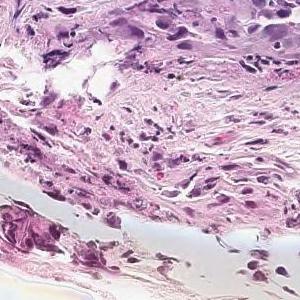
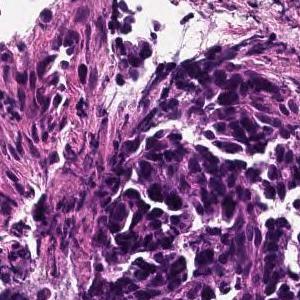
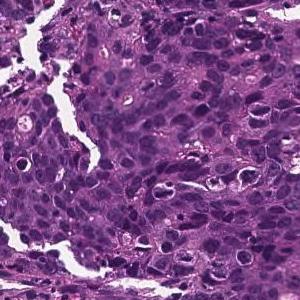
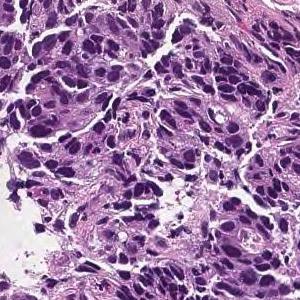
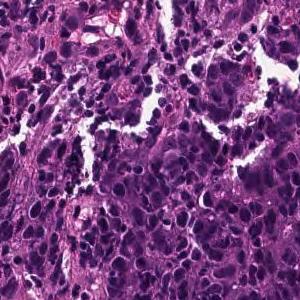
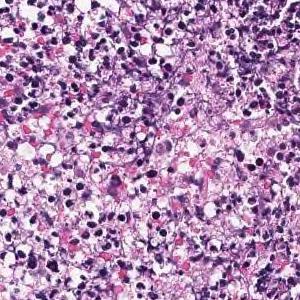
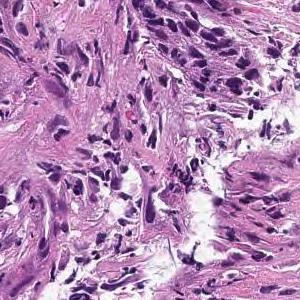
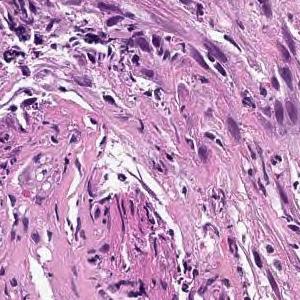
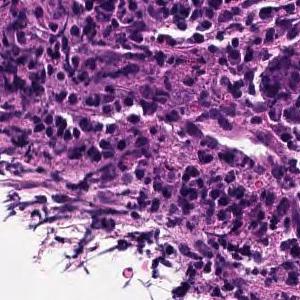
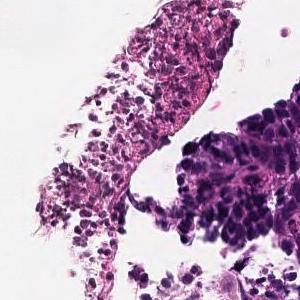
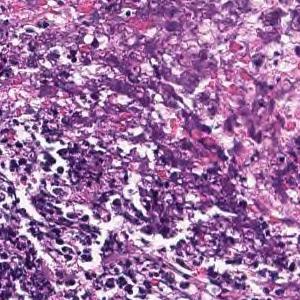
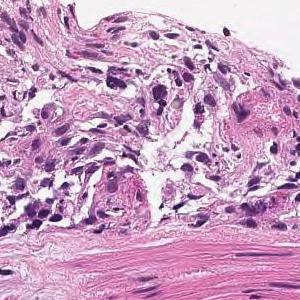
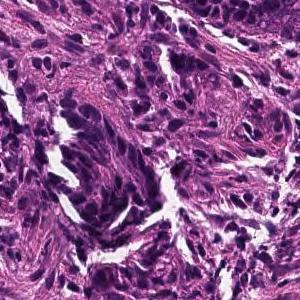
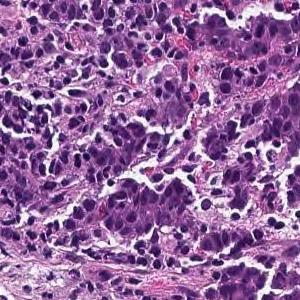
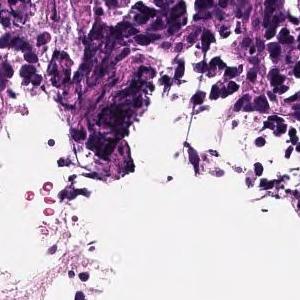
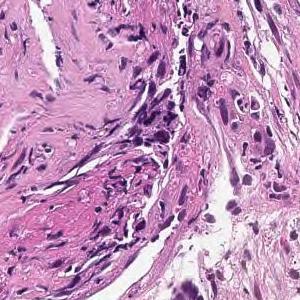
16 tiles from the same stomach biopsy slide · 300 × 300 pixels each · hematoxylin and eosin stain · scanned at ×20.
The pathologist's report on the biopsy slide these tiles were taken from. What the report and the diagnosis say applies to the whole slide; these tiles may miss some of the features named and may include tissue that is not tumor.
In the superficial epithelium, tumor tissue that invades by forming medium-sized to small, irregular ducts is observed. moderately differentiated tubular adenocarcinoma.
